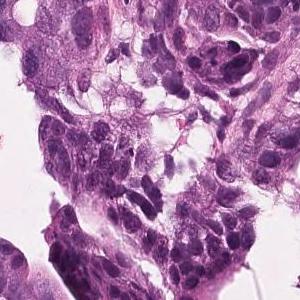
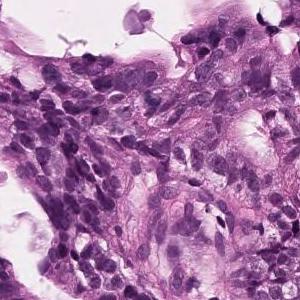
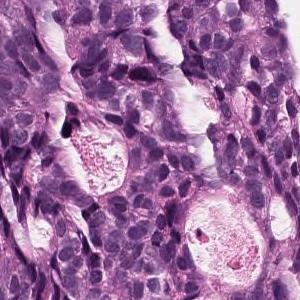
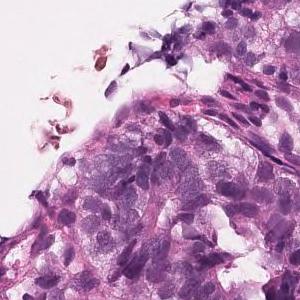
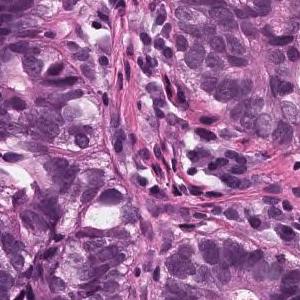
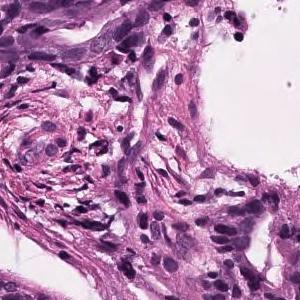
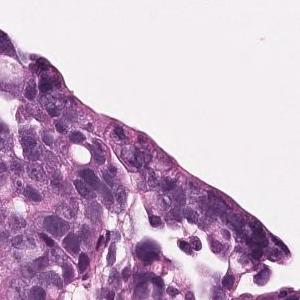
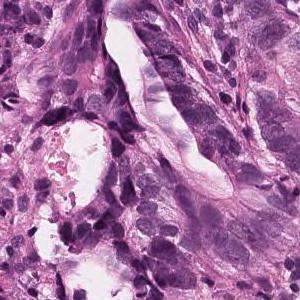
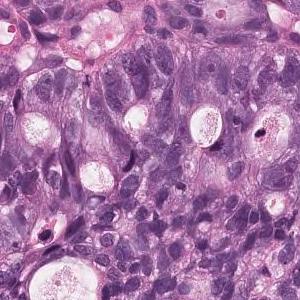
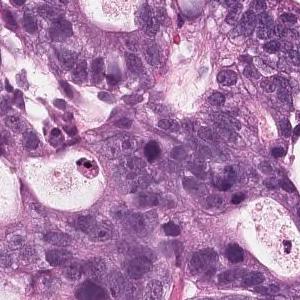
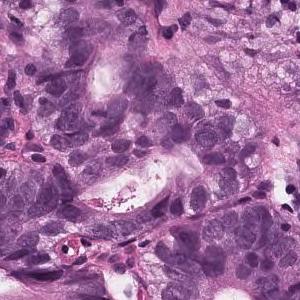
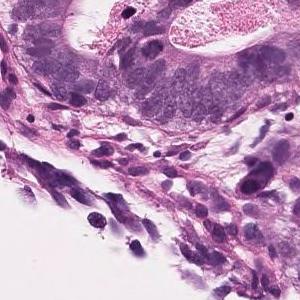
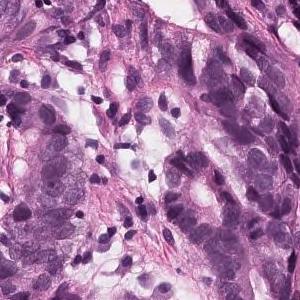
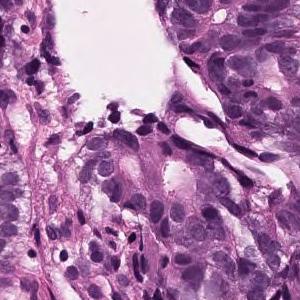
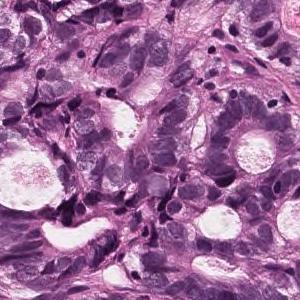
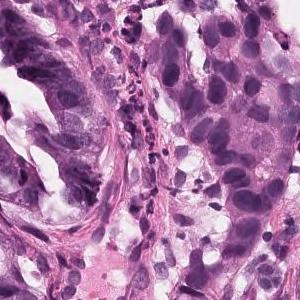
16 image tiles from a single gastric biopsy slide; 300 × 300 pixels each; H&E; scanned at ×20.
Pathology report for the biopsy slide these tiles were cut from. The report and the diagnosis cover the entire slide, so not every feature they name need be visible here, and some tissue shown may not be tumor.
On the superficial epithelium, tumor tissue consisting of large, irregular glandular ducts partially fused and infiltrated is observed. Well to moderately differentiated tubular adenocarcinoma (well differentiated tubular adenocarcinoma, moderately differentiated tubular adenocarcinoma)
Subtype: Well to moderately differentiated tubular adenocarcinoma.
